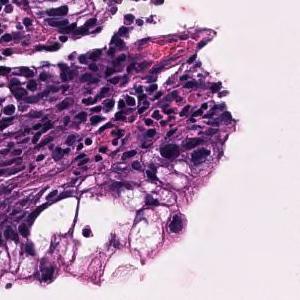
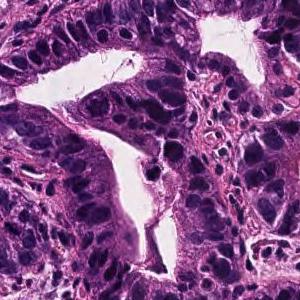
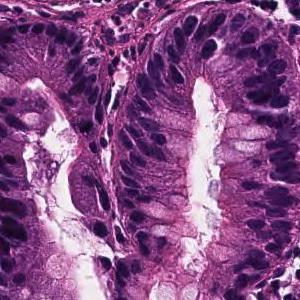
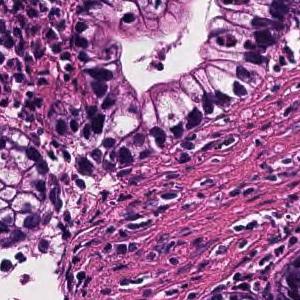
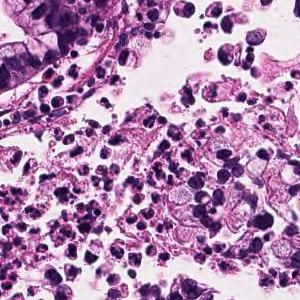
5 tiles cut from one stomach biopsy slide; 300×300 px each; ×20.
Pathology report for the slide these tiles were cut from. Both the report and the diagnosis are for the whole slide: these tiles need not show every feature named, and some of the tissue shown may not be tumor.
Tumor cells are large, highly columnar, large club-shaped nuclei, and are associated with chromatin aggregation. Papillary adenocarcinoma.
